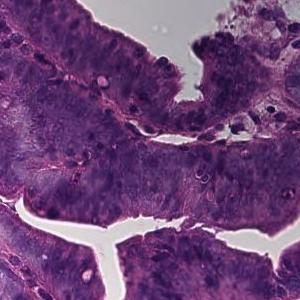
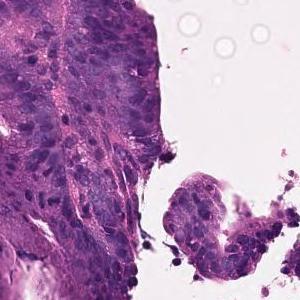
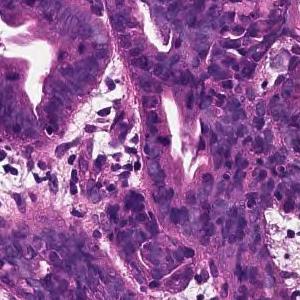
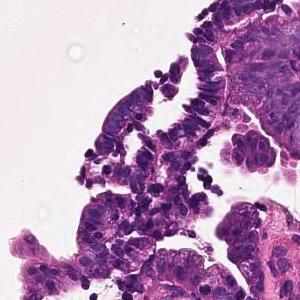
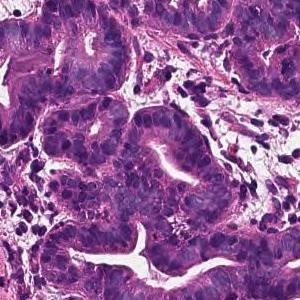
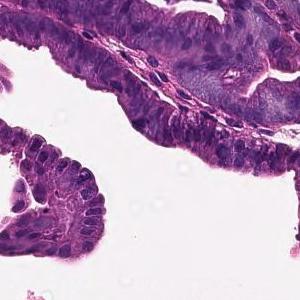
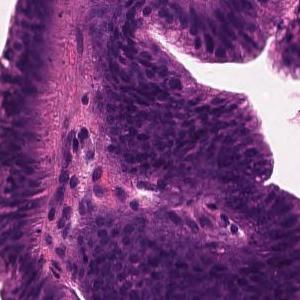
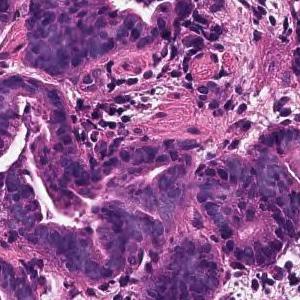
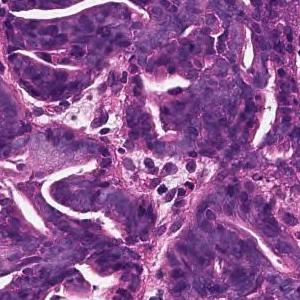
9 tiles from the same stomach biopsy slide; 300×300 px each; scanned at ×20.
Diagnostic report for the slide these tiles come from. The report and the diagnosis describe the slide as a whole, so these tiles may not show every feature named and may include non-tumor tissue.
Tumor cells are large, highly columnar, large club-shaped nuclei, and are associated with chromatin aggregation. Papillary adenocarcinoma.
